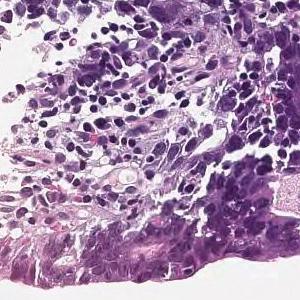
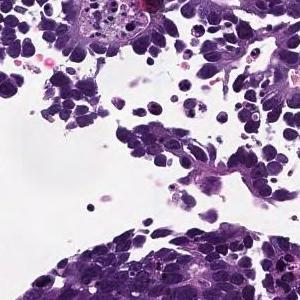
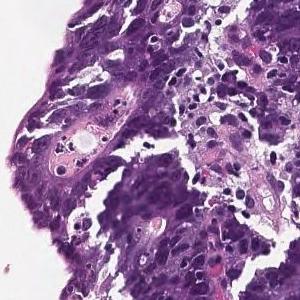
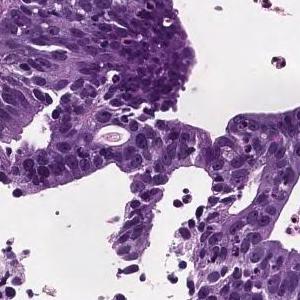
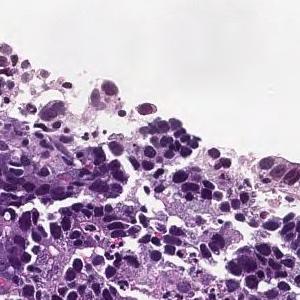
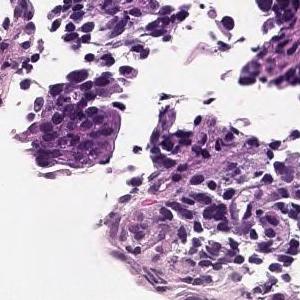
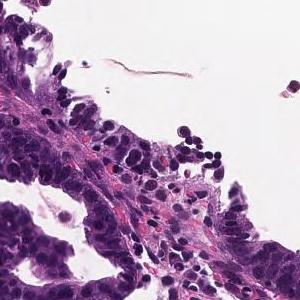
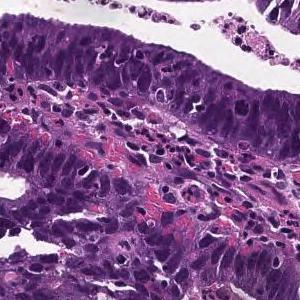
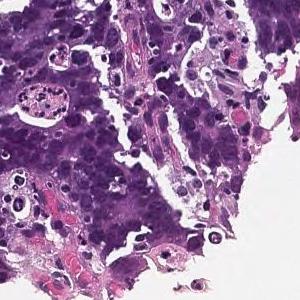
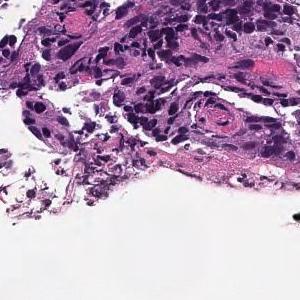
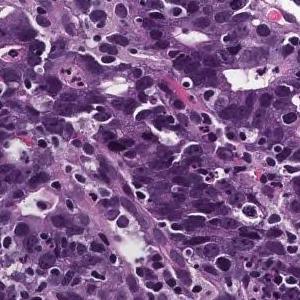
11 image tiles from a single gastric biopsy slide.
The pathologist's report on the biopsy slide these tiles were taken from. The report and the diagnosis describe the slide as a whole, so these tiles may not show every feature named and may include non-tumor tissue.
On the superficial epithelium, tumor tissue is found in which medium-sized irregular gland ducts fuse with each other and infiltrate. moderately differentiated tubular adenocarcinoma
